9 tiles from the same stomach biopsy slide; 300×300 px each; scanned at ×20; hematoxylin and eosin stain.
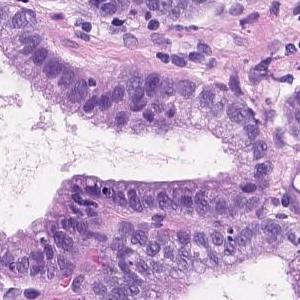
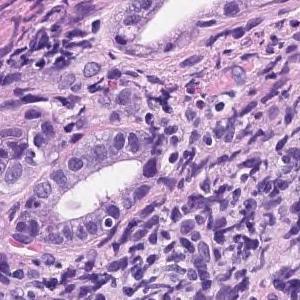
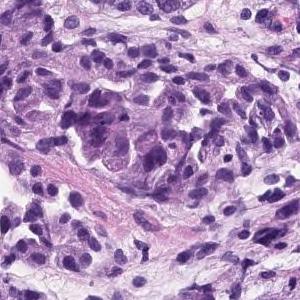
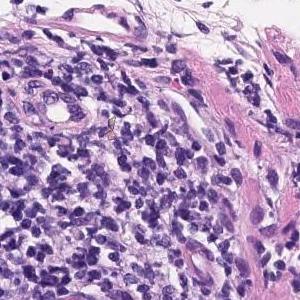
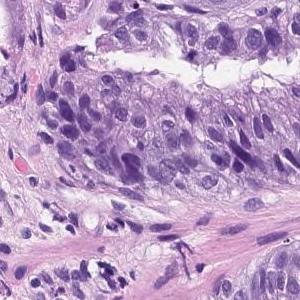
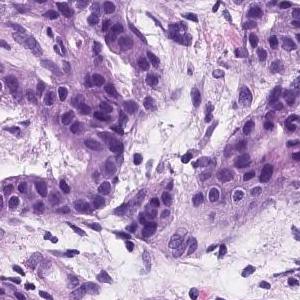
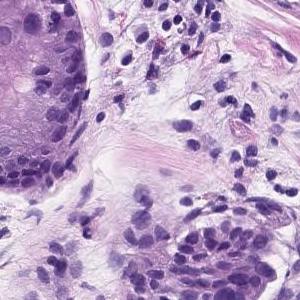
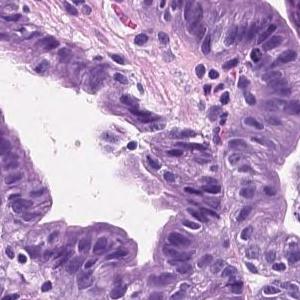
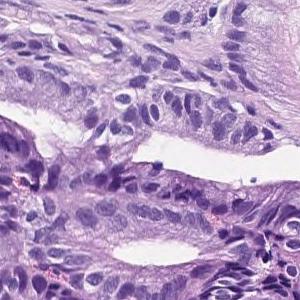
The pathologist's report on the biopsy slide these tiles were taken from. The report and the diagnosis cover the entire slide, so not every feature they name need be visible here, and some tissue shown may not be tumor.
Tumor tissue consisting of medium-sized and irregular ducts is observed infiltrating in the superficial epithelium. Tumor cells are highly columnar, with nuclei aligned basolaterally and polarized. Well differentiated tubular adenocarcinoma.
